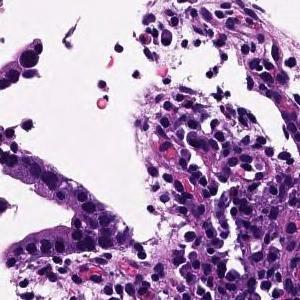
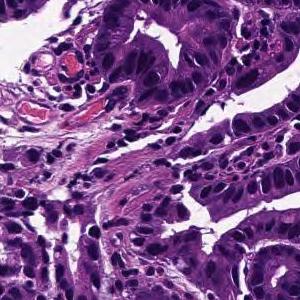
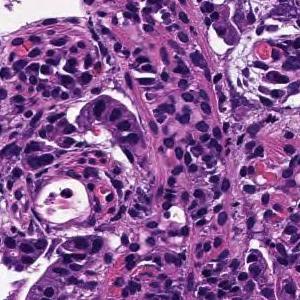
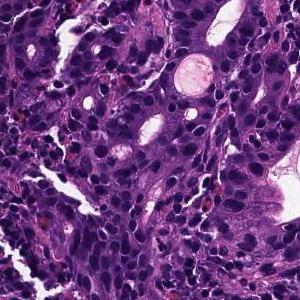
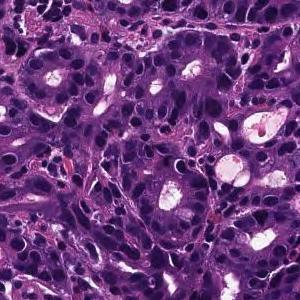
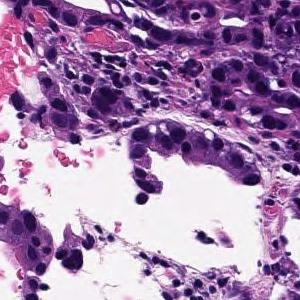
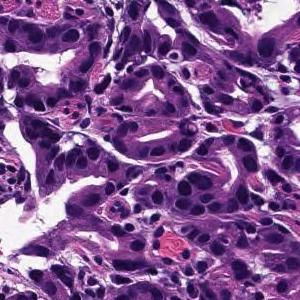
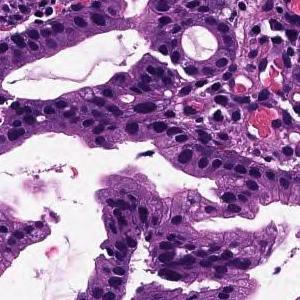
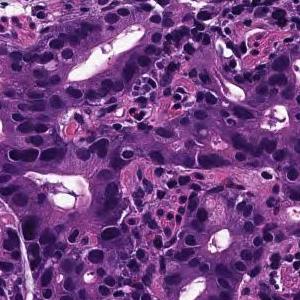
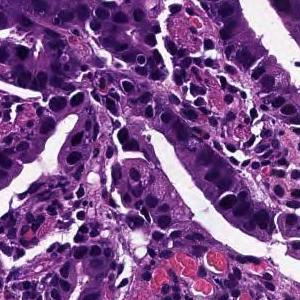
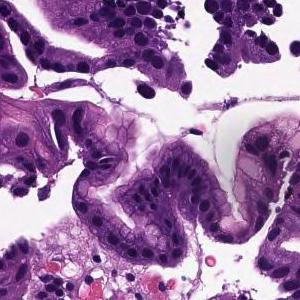
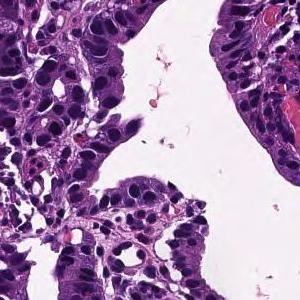
12 tiles cut from one stomach biopsy slide; 300×300 px each; scanned at ×20; H&E stain.
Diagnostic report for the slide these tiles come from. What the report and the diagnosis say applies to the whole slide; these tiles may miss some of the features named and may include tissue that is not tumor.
From the superficial epithelium to the muscularis mucosae, tumor tissue consisting of medium-sized and irregular glandular ducts infiltrating is observed. Well differentiated tubular adenocarcinoma
